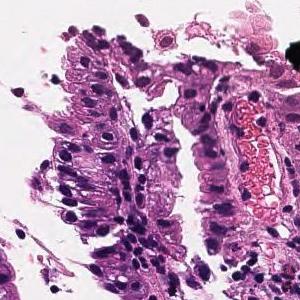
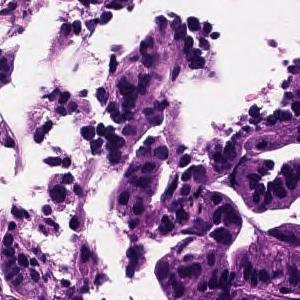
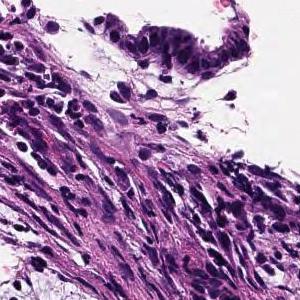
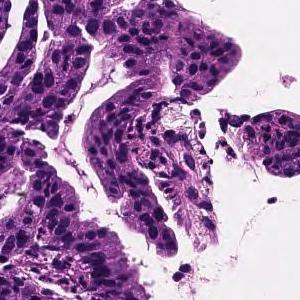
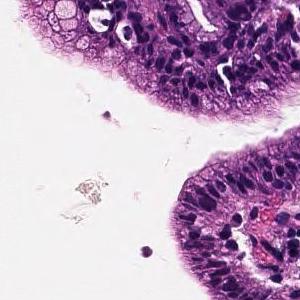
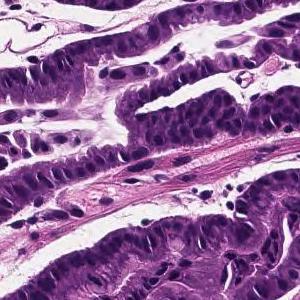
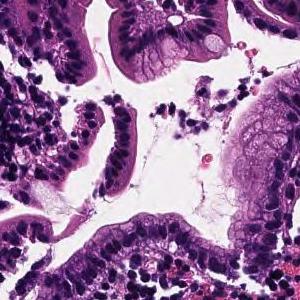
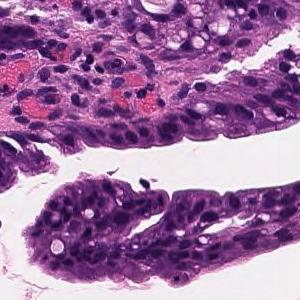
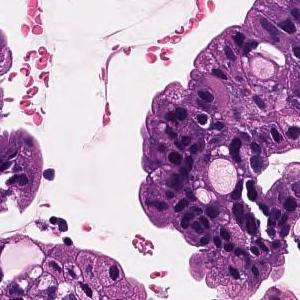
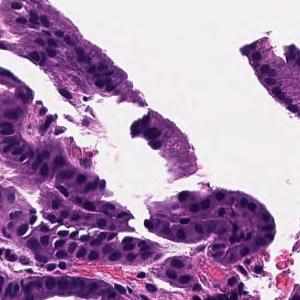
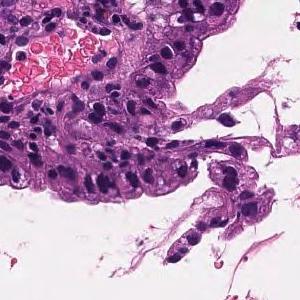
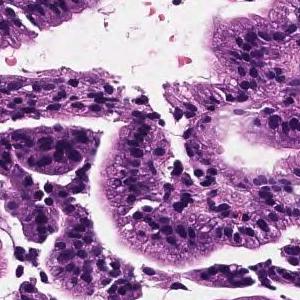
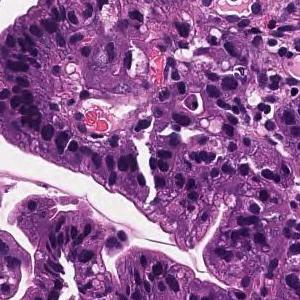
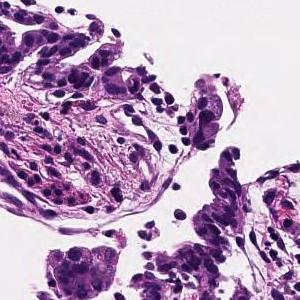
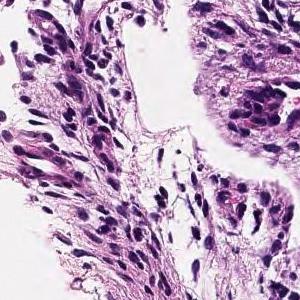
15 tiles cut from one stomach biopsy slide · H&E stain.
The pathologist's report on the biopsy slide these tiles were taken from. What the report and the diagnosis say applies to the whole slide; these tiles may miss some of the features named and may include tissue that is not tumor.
On the superficial epithelium, tumor tissue that infiltrates by forming medium-sized papillary or small irregular ducts is observed. Papillary adenocarcinoma
